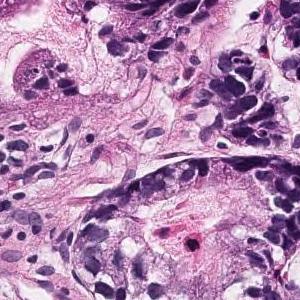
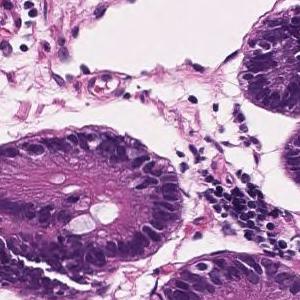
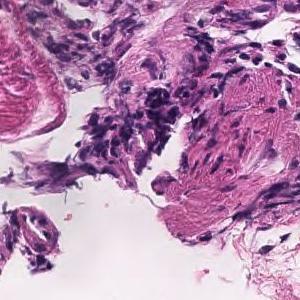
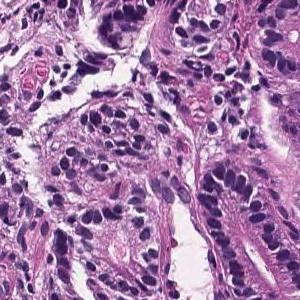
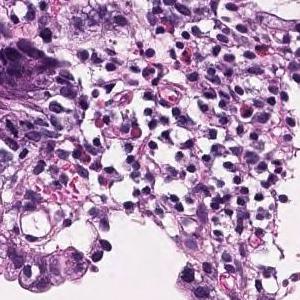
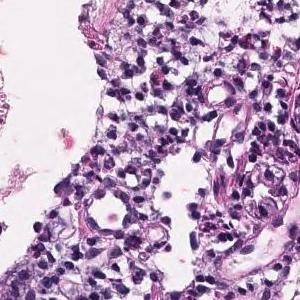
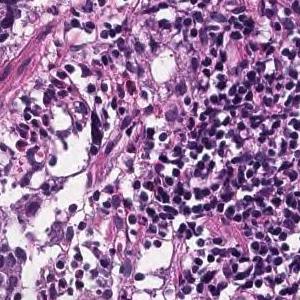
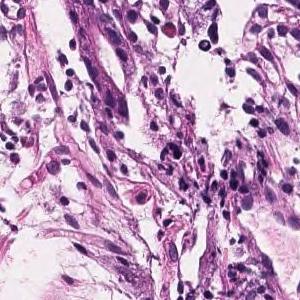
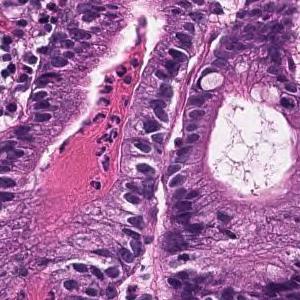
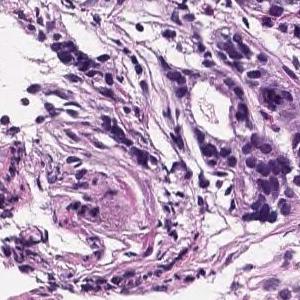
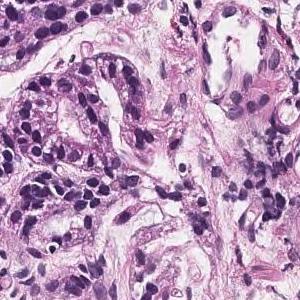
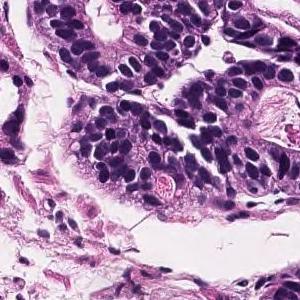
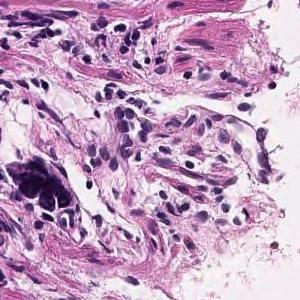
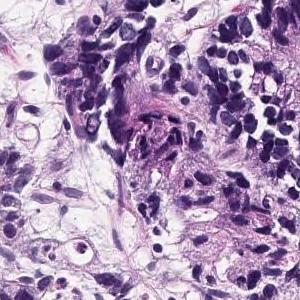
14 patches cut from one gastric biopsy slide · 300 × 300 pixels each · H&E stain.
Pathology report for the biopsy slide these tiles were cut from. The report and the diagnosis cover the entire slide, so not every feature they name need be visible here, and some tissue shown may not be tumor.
Tumor tissue consisting of medium-sized and irregular ducts is observed infiltrating in the superficial epithelium. Tumor cells are highly columnar, with nuclei aligned basolaterally and polarized. Well differentiated tubular adenocarcinoma.
